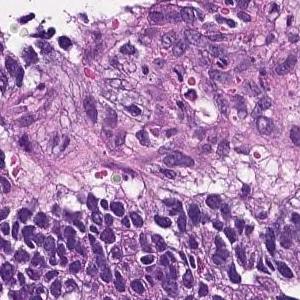
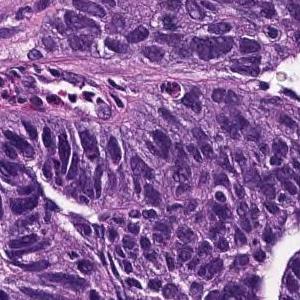
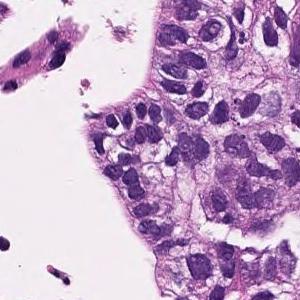
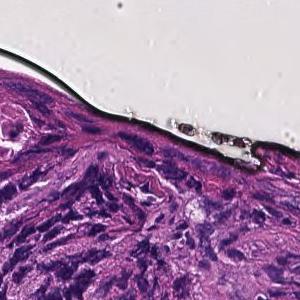
Scanned at ×20, 4 tiles cut from one stomach biopsy slide.
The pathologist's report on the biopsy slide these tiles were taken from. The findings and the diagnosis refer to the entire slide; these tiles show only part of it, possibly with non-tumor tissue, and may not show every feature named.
In the superficial epithelium, tumor tissue that invades by forming medium-sized to small, irregular ducts is observed. moderately differentiated tubular adenocarcinoma.
